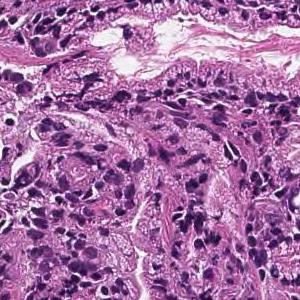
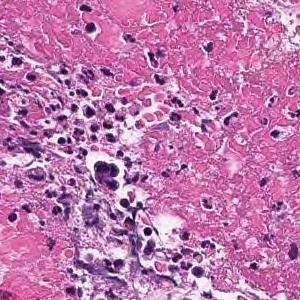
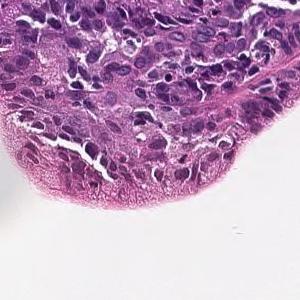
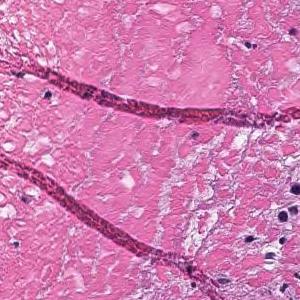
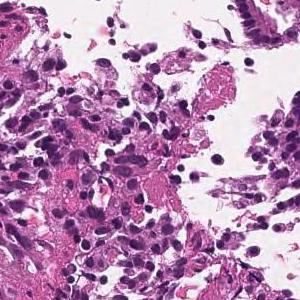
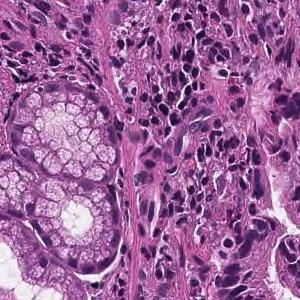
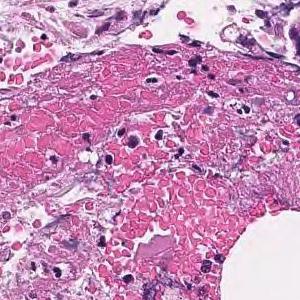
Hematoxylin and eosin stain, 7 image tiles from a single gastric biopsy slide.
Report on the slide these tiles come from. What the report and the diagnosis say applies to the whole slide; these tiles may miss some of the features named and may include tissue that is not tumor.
On the superficial epithelium, tumor tissue that infiltrates by forming medium-sized papillary or small irregular ducts is observed. Papillary adenocarcinoma
